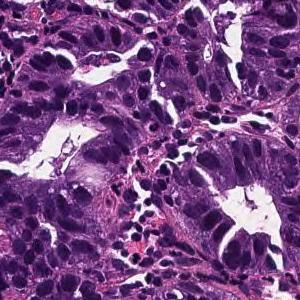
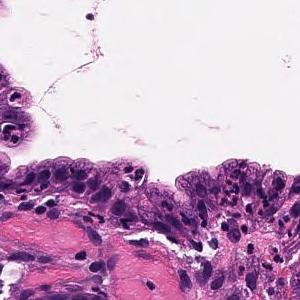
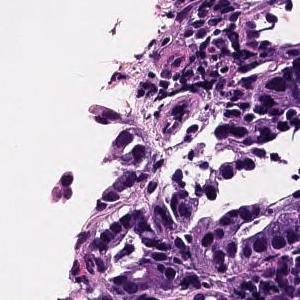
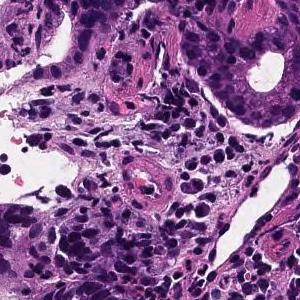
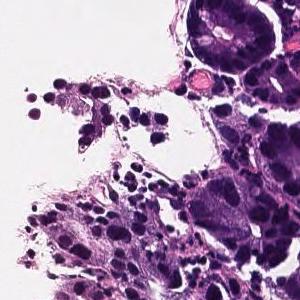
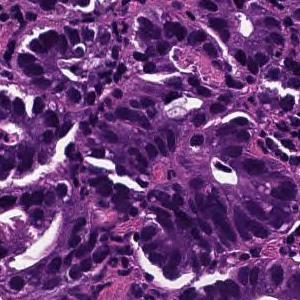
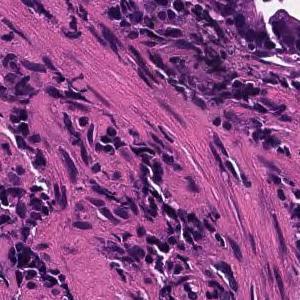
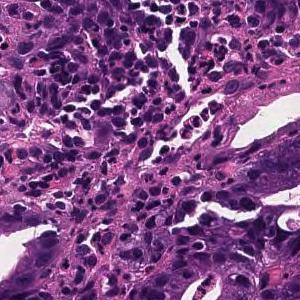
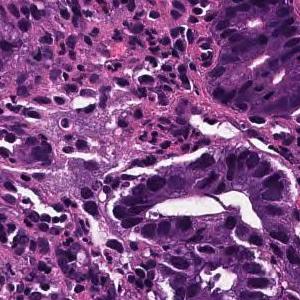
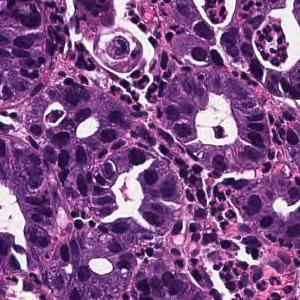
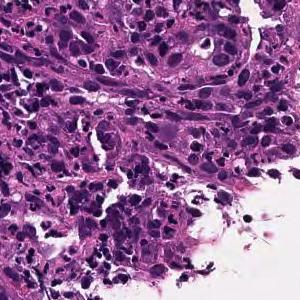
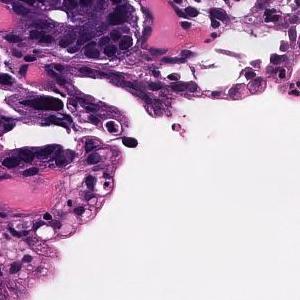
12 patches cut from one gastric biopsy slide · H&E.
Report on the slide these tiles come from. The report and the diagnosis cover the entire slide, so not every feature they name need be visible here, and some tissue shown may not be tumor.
From the superficial epithelium to the muscularis mucosae, tumor tissue consisting of medium-sized and irregular glandular ducts infiltrating is observed. Well differentiated tubular adenocarcinoma
